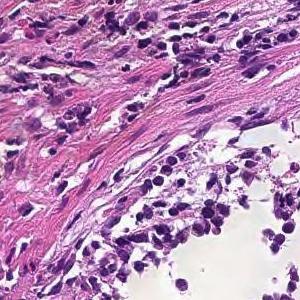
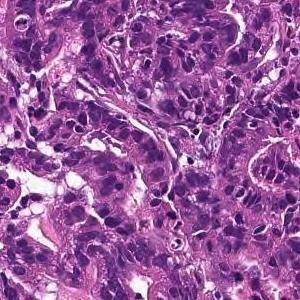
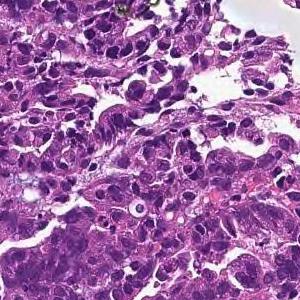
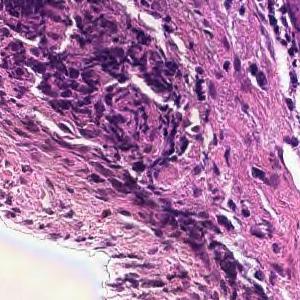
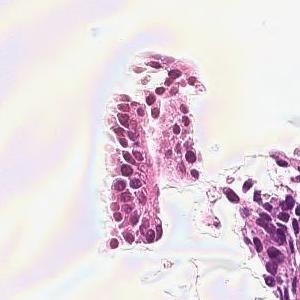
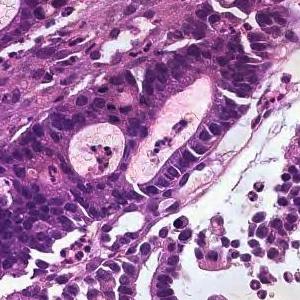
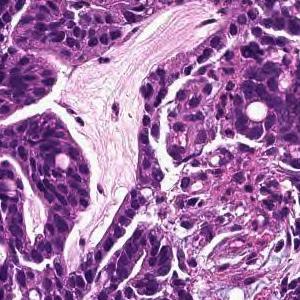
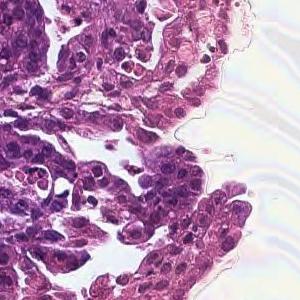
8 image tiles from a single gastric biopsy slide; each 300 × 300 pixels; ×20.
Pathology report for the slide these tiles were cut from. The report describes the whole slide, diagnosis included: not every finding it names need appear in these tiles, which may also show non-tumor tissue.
In the superficial epithelium, tumor tissue that invades by forming medium-sized to small, irregular ducts is observed. moderately differentiated tubular adenocarcinoma.
